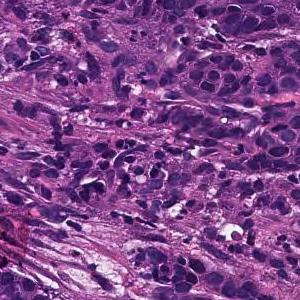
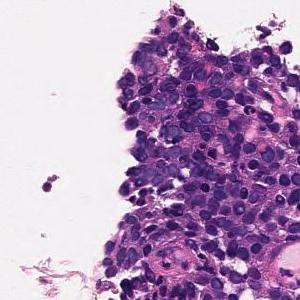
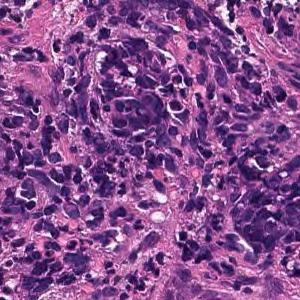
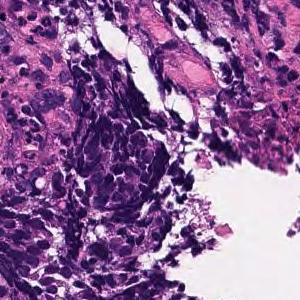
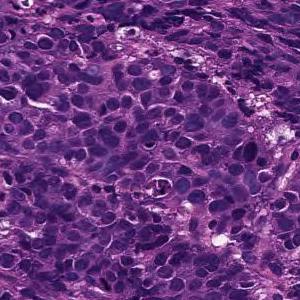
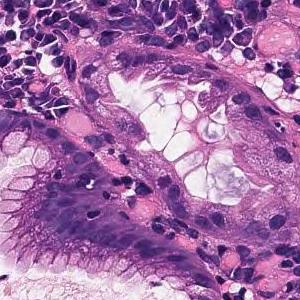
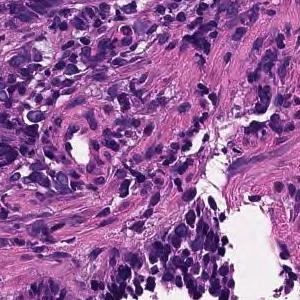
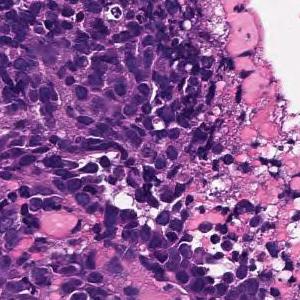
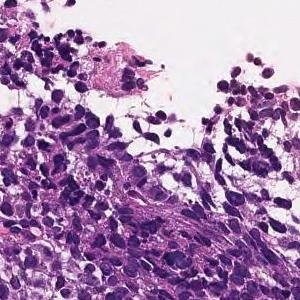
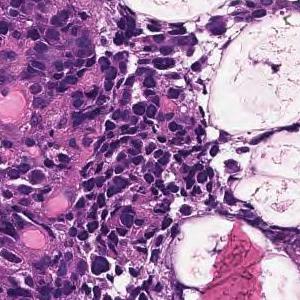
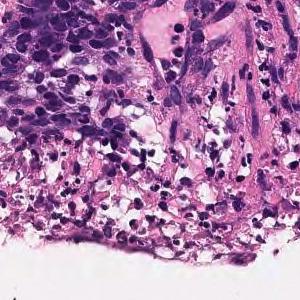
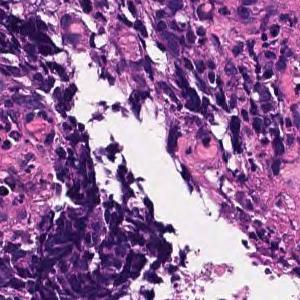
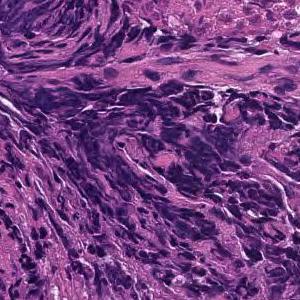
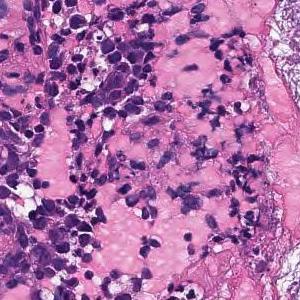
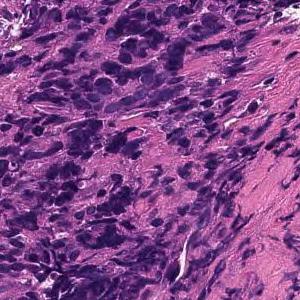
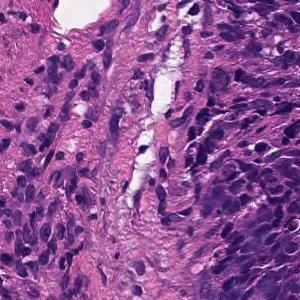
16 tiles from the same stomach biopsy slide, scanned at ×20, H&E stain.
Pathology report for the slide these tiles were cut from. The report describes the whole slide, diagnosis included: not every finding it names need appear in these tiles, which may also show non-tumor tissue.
Large sheet-like or diffusely infiltrating tumor tissue is found in the superficial epithelium. Poorly differentiated adenocarcinoma, solid-type
Histological subtype: Poorly differentiated adenocarcinoma, solid type, a category of the Japanese Classification of Gastric Carcinoma; in the WHO 2019 classification it is tubular adenocarcinoma, poorly differentiated.
